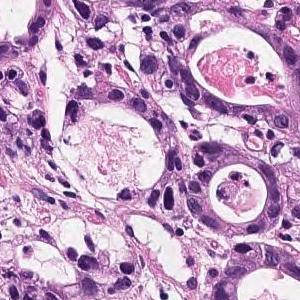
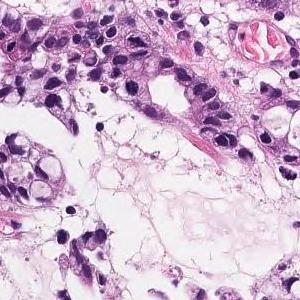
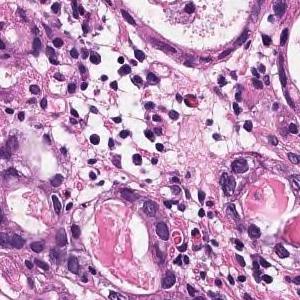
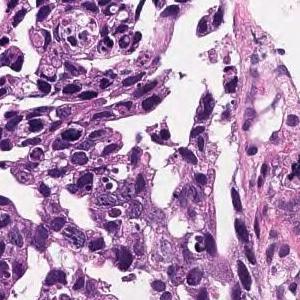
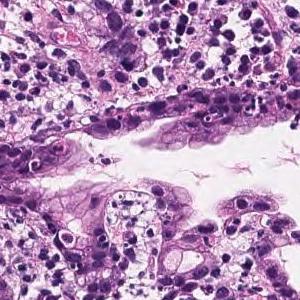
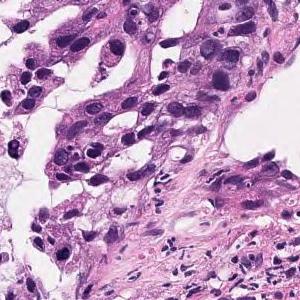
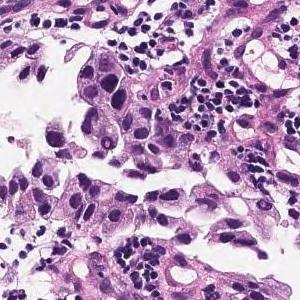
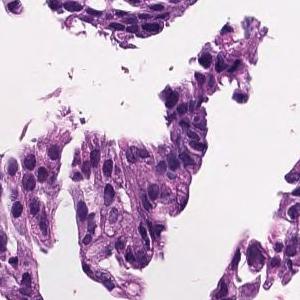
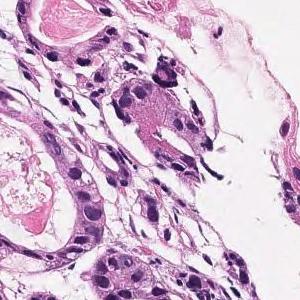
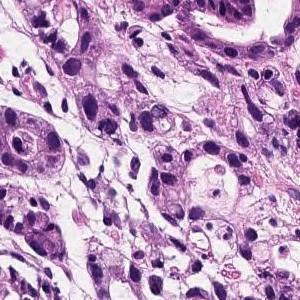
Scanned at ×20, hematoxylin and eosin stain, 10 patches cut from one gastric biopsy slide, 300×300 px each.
Pathology report for the slide these tiles were cut from. The report describes the whole slide, diagnosis included: not every finding it names need appear in these tiles, which may also show non-tumor tissue.
In the superficial epithelium, tumor tissue that invades by forming medium-sized to small, irregular ducts is observed. Moderately differentiated adenocarcinoma.
Histological subtype: Moderately differentiated tubular adenocarcinoma.
